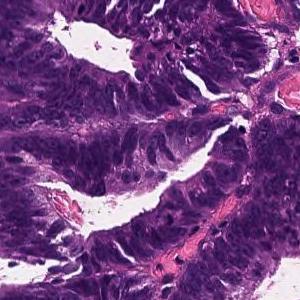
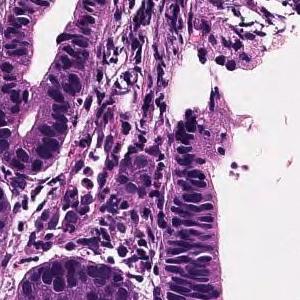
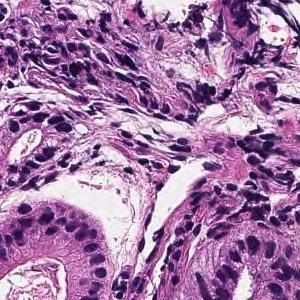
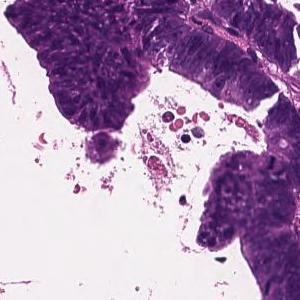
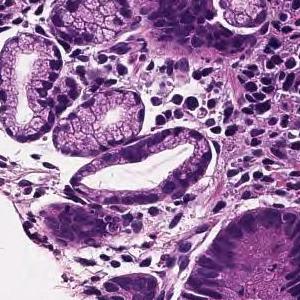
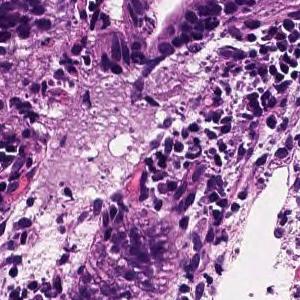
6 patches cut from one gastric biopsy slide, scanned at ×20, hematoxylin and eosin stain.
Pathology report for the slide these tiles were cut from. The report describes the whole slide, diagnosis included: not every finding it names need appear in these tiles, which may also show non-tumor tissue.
Tumor tissue consisting of large papillary structures is found in the superficial epithelium. Papillary adenocarcinoma.
